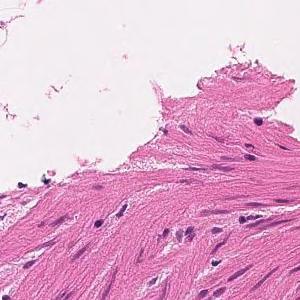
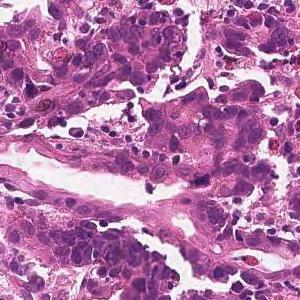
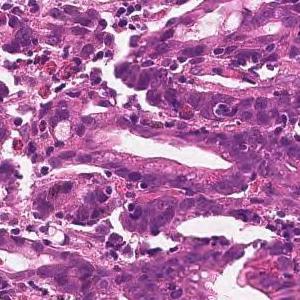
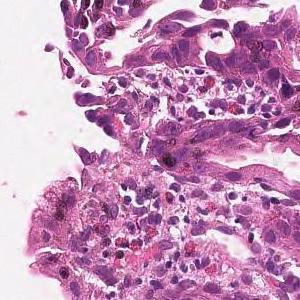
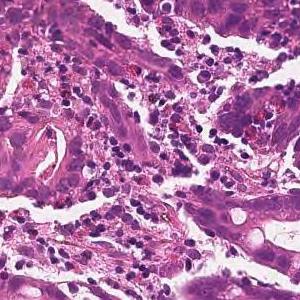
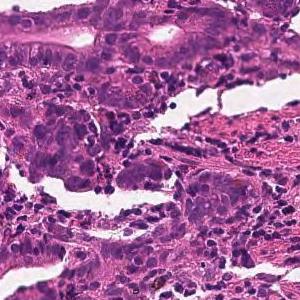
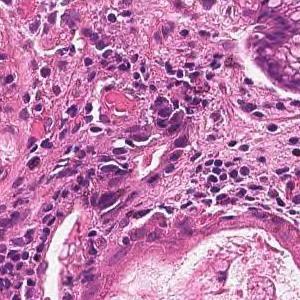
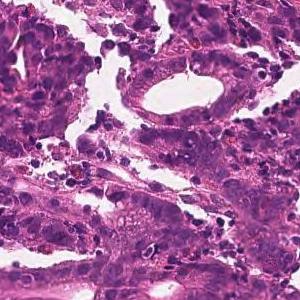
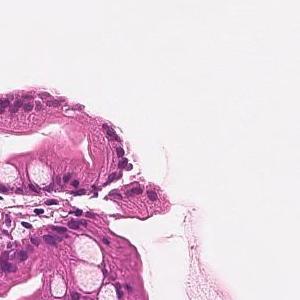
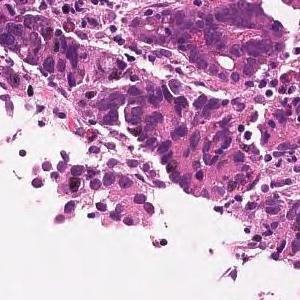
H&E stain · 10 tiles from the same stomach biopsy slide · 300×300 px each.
Diagnostic report for the slide these tiles come from. The findings and the diagnosis refer to the entire slide; these tiles show only part of it, possibly with non-tumor tissue, and may not show every feature named.
On the superficial epithelium, tumor tissue is found in which medium-sized irregular gland ducts fuse with each other and infiltrate. moderately differentiated tubular adenocarcinoma
